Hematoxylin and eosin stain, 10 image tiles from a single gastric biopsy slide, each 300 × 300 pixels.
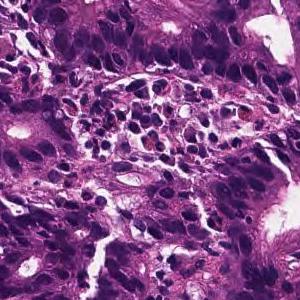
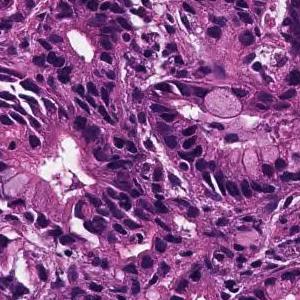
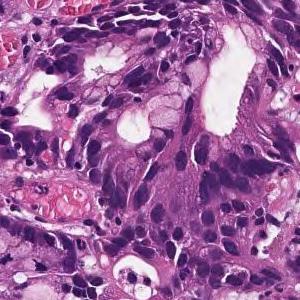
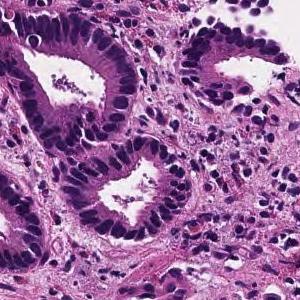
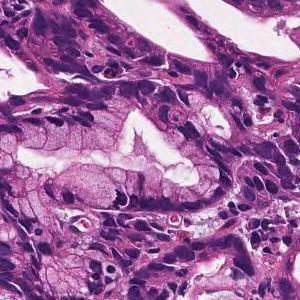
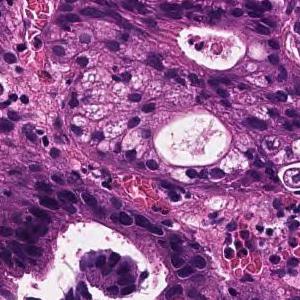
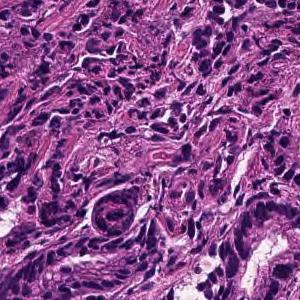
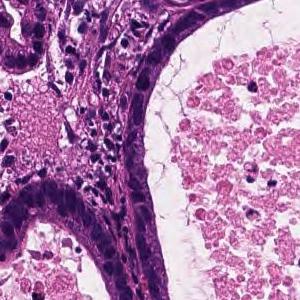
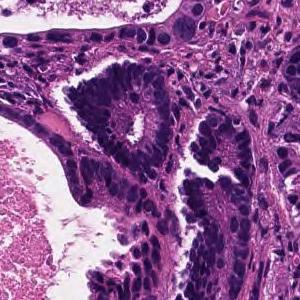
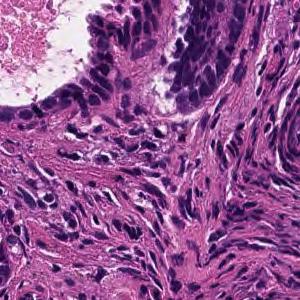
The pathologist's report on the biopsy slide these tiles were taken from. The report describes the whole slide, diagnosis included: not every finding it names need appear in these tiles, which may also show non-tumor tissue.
On the superficial epithelium, tumor tissue consisting of medium-sized and irregular glandular ducts partially fused and infiltrated is observed. Well to moderately differentiated tubular adenocarcinoma (well differentiated tubular adenocarcinoma-moderately differentiated tubular adenocarcinoma)
Classified as well to moderately differentiated tubular adenocarcinoma.
